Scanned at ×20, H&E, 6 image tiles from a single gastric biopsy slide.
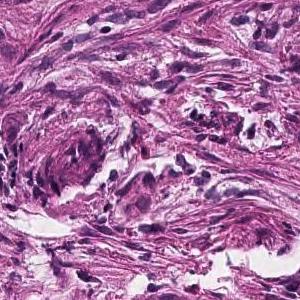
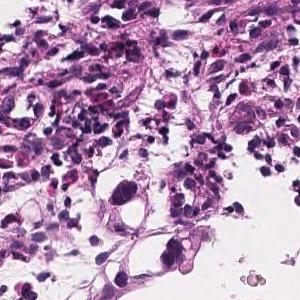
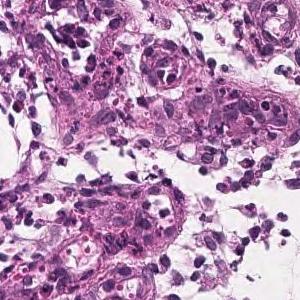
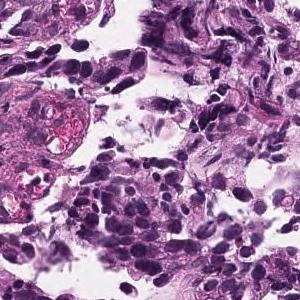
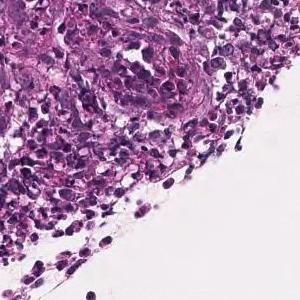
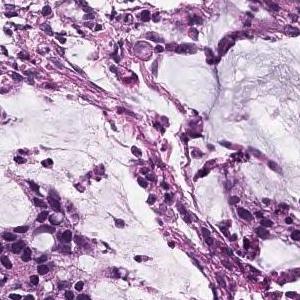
Pathology report for the biopsy slide these tiles were cut from. The findings and the diagnosis refer to the entire slide; these tiles show only part of it, possibly with non-tumor tissue, and may not show every feature named.
Atypical epithelial cells form obscure ductal structures or small solid follicles, and tumor tissue that proliferates invasively with proliferation of inflammatory granulation tissue is observed. Mucinous adenocarcinoma .
